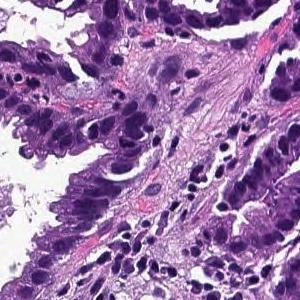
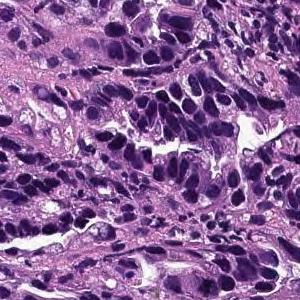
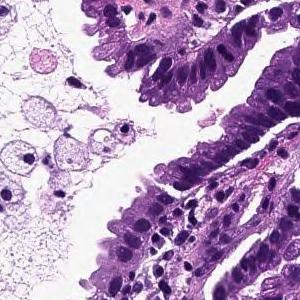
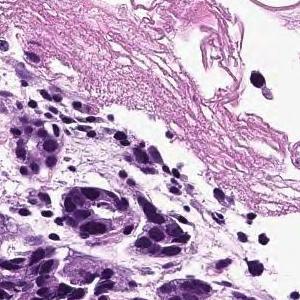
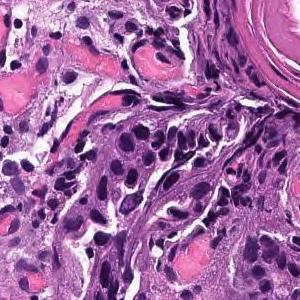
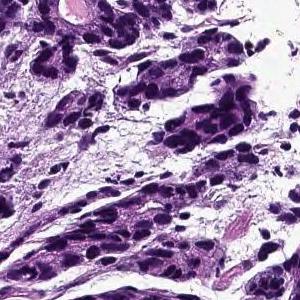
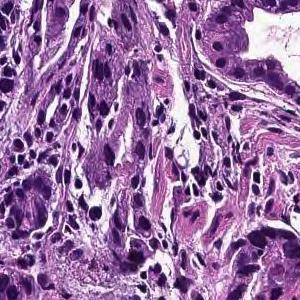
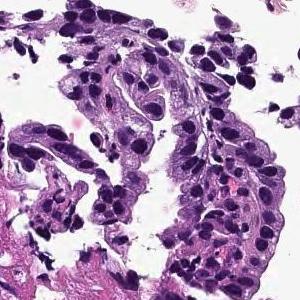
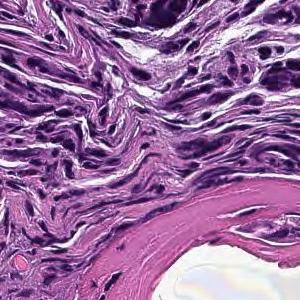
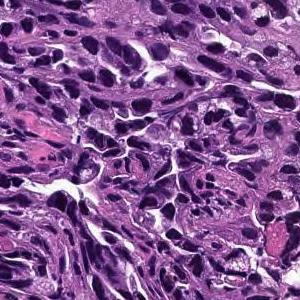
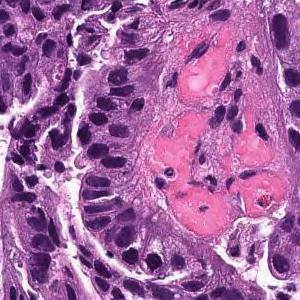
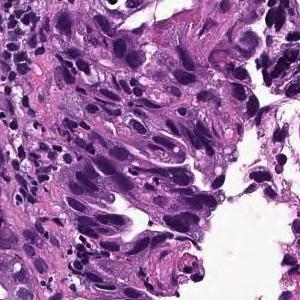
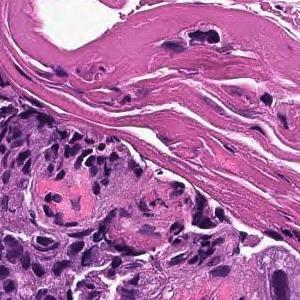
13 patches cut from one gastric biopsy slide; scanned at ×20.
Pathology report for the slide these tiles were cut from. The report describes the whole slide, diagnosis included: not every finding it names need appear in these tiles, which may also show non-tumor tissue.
Tumor cells are large, highly columnar, large club-shaped nuclei, and are associated with chromatin aggregation. Papillary adenocarcinoma.
